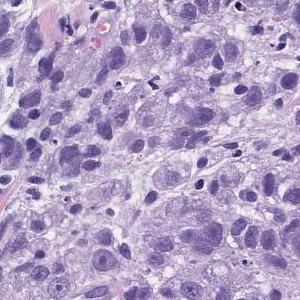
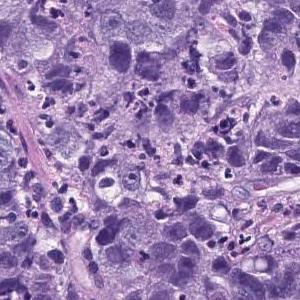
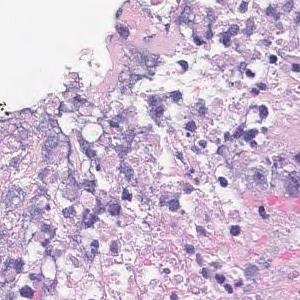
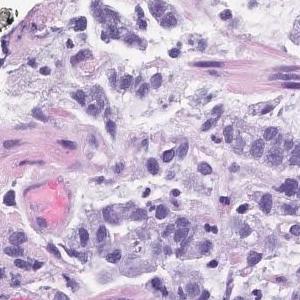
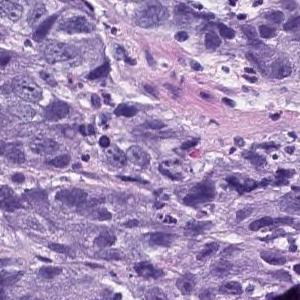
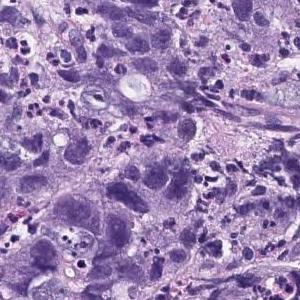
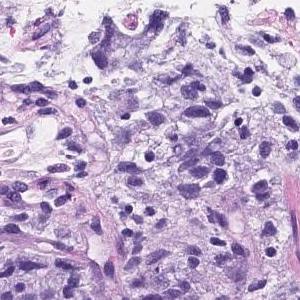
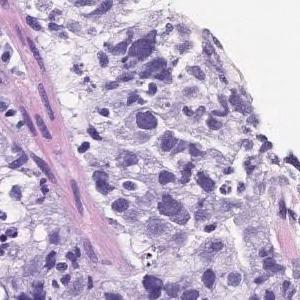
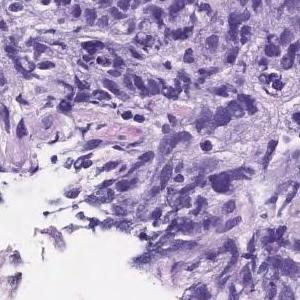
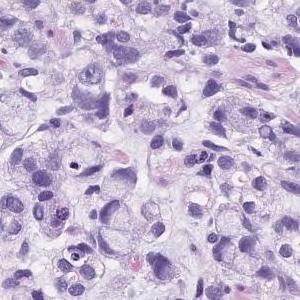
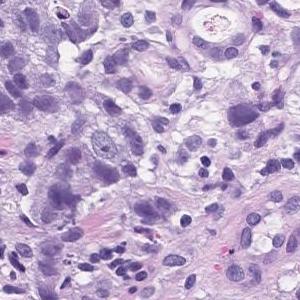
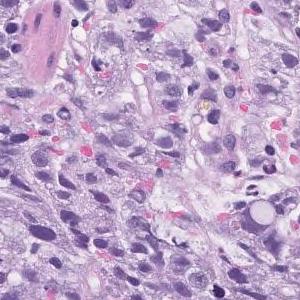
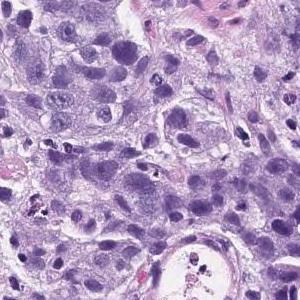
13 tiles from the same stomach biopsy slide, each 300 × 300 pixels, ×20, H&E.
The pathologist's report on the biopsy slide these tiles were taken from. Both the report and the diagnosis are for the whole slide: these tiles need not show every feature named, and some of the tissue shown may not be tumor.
Atypical l cells with atypical nuclei forming solid vesicles or small irregular atypical ducts that proliferate in a complex manner. poorly differentiated adenocarcinoma, solid type, moderately differentiated tubular adenocarcinoma
The solid type named here is a Japanese Classification of Gastric Carcinoma category; WHO 2019 calls it tubular adenocarcinoma, poorly differentiated.
